5 patches cut from one gastric biopsy slide, ×20, hematoxylin and eosin stain.
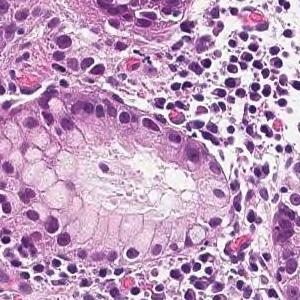
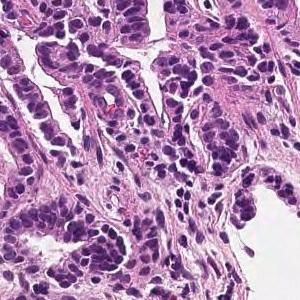
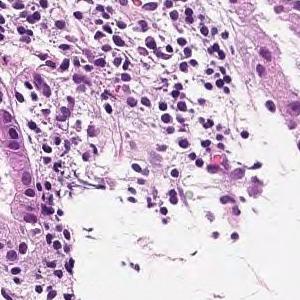
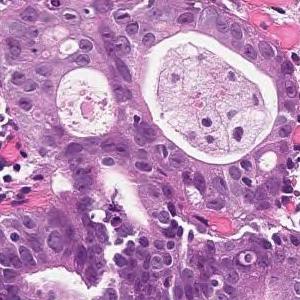
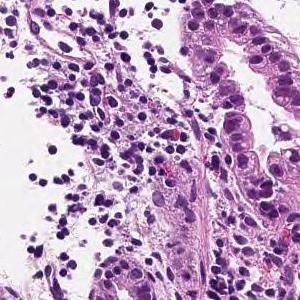
Pathology report for the biopsy slide these tiles were cut from. The report and the diagnosis cover the entire slide, so not every feature they name need be visible here, and some tissue shown may not be tumor.
In the superficial epithelium, tumor tissue that invades by forming medium-sized to small, irregular ducts is observed. moderately differentiated tubular adenocarcinoma.
